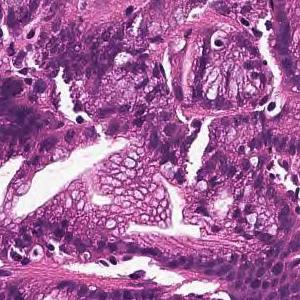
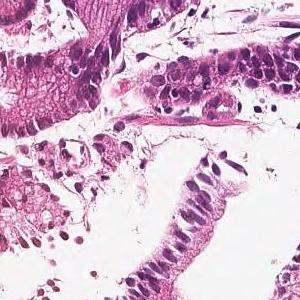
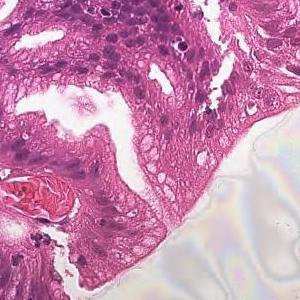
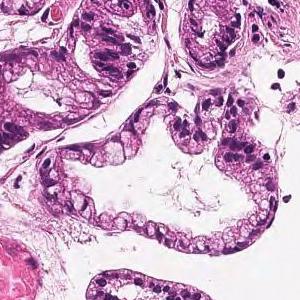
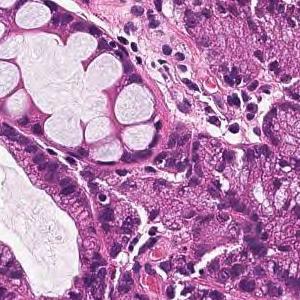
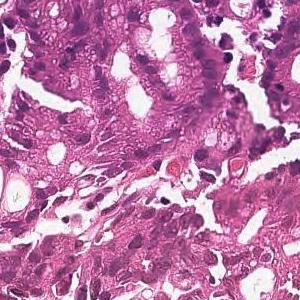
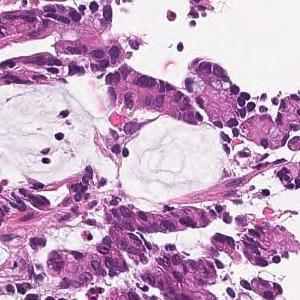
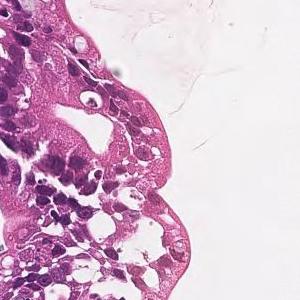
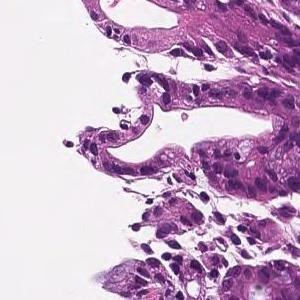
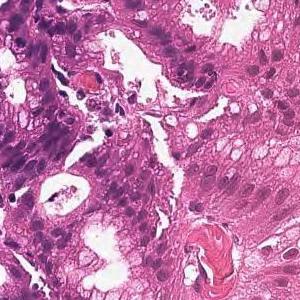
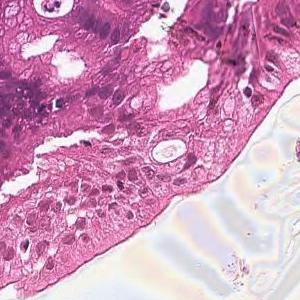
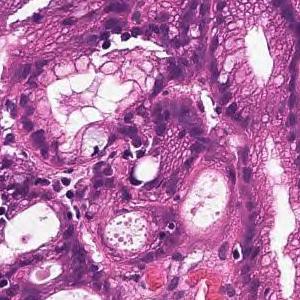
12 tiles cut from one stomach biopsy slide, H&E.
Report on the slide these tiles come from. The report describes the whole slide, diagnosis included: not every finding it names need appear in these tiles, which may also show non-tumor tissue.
In the superficial epithelium, tumor tissue that invades by forming medium-sized to small, irregular ducts is observed. moderately differentiated tubular adenocarcinoma.
